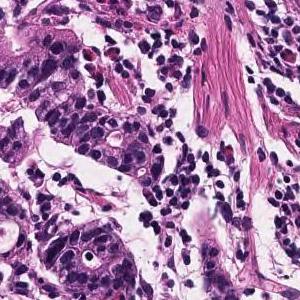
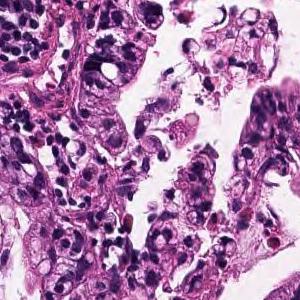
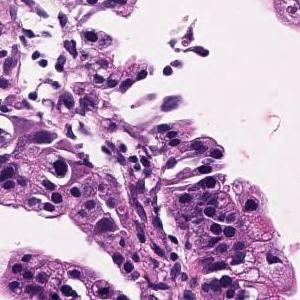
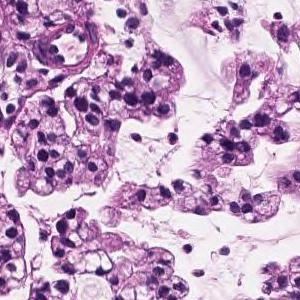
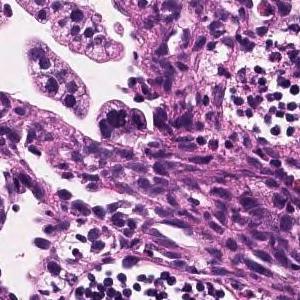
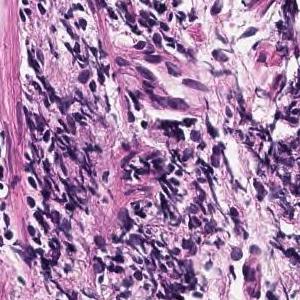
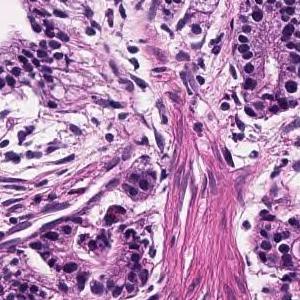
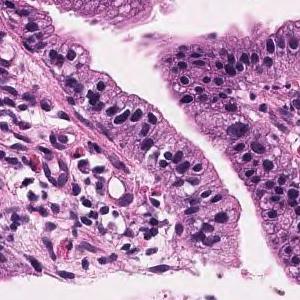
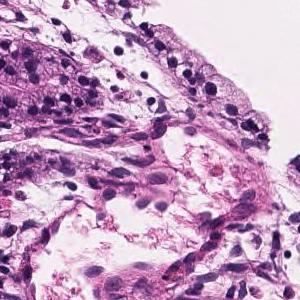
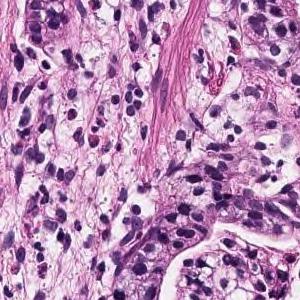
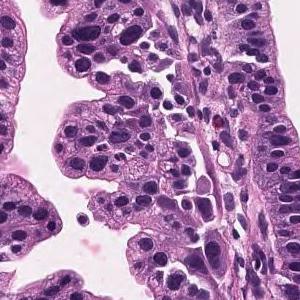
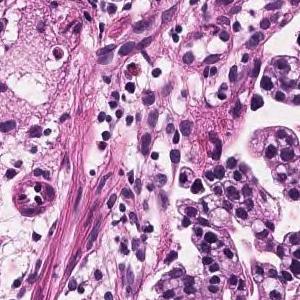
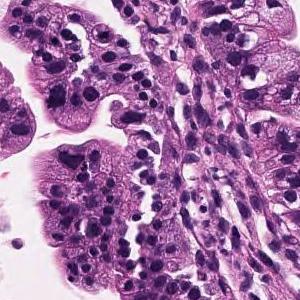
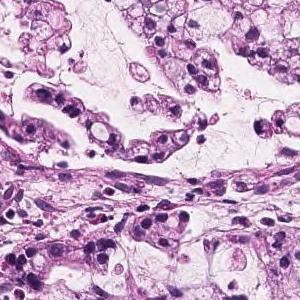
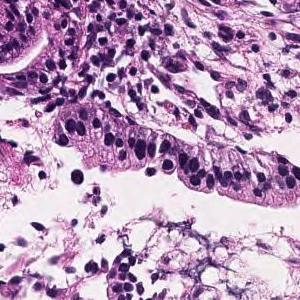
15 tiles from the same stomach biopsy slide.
Diagnostic report for the slide these tiles come from. The report describes the whole slide, diagnosis included: not every finding it names need appear in these tiles, which may also show non-tumor tissue.
Tumor tissue consisting of large papillary structures or irregular glandular ducts partially fused and infiltrated is observed in the superficial epithelium. Well to moderately differentiated tubular adenocarcinoma.
Dataset label: moderately differentiated tubular adenocarcinoma.
